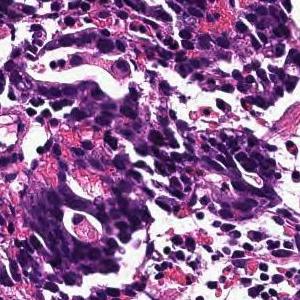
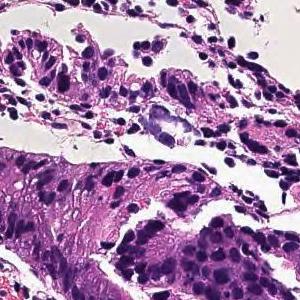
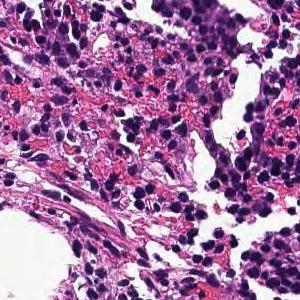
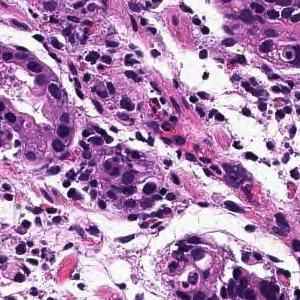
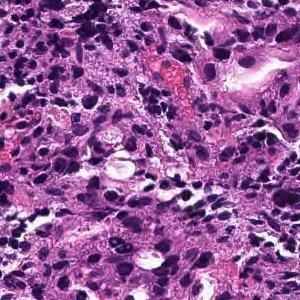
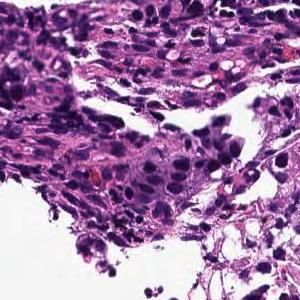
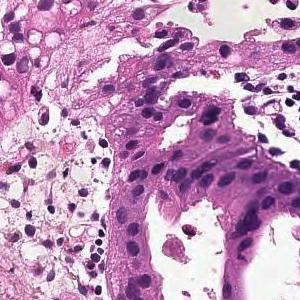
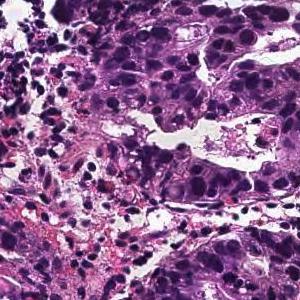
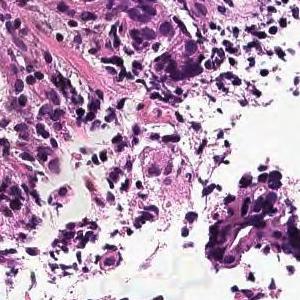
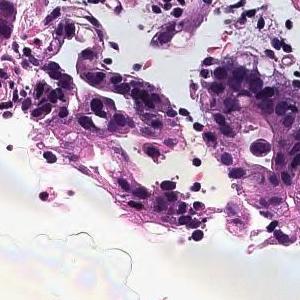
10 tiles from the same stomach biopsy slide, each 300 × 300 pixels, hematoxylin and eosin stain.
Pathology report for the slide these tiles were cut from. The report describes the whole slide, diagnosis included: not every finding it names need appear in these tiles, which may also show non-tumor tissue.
In the superficial epithelium, tumor tissue that invades by forming medium-sized to small, irregular ducts is observed. moderately differentiated tubular adenocarcinoma.
